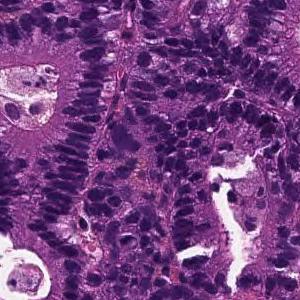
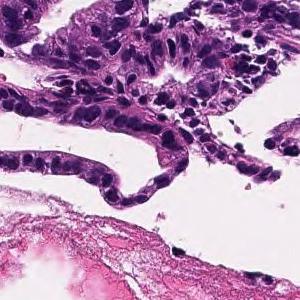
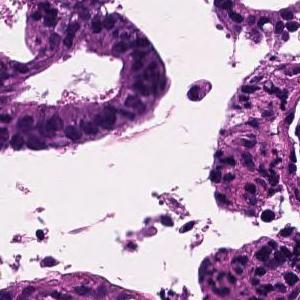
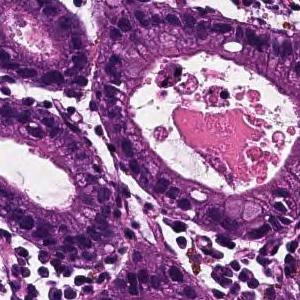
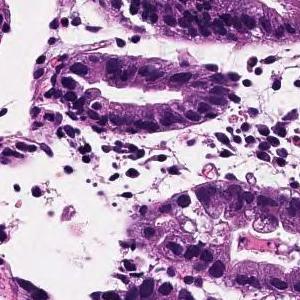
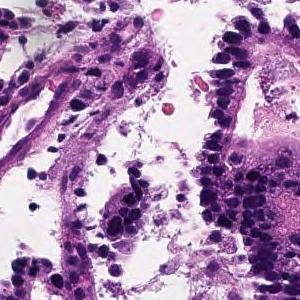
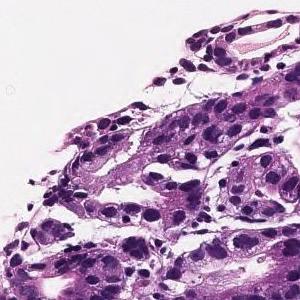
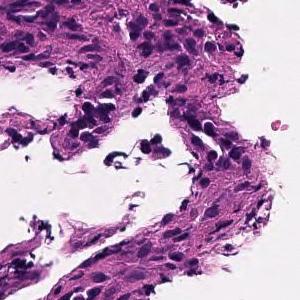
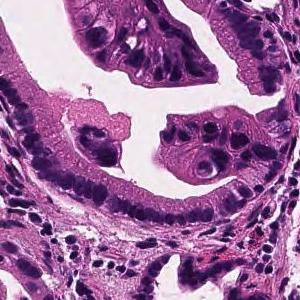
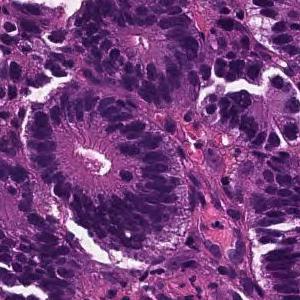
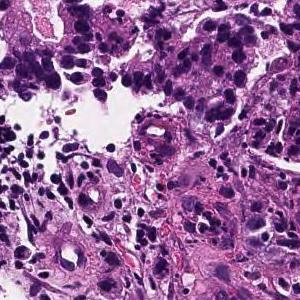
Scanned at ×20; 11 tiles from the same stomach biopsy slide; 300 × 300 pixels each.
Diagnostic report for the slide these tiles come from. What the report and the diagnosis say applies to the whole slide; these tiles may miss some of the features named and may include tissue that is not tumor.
From the superficial epithelium to the muscularis mucosae, tumor tissue consisting of medium-sized and irregular glandular ducts infiltrating is observed. Well differentiated tubular adenocarcinoma
